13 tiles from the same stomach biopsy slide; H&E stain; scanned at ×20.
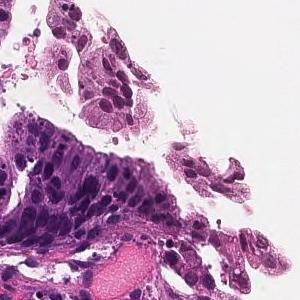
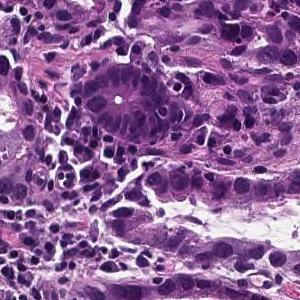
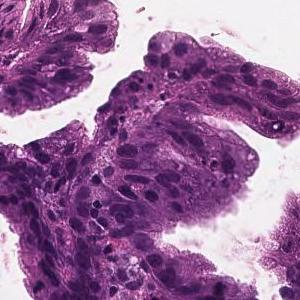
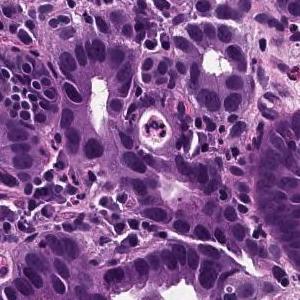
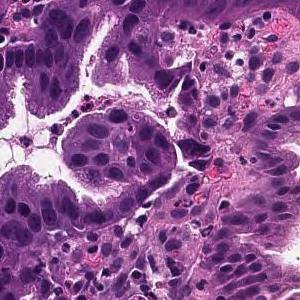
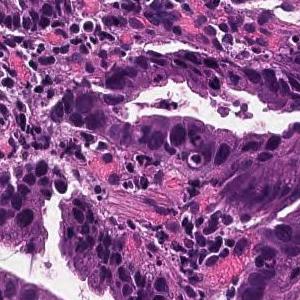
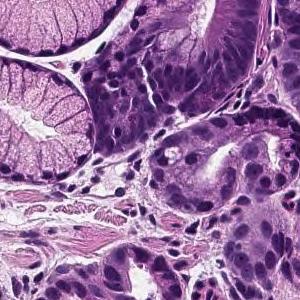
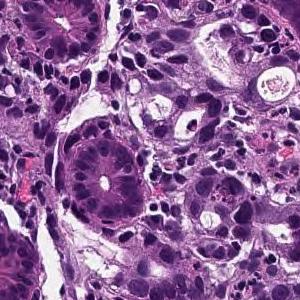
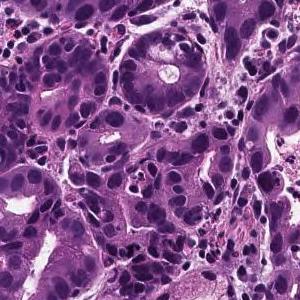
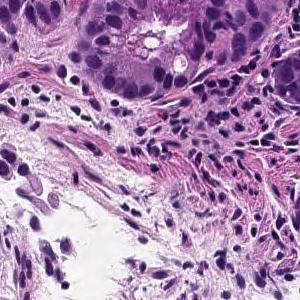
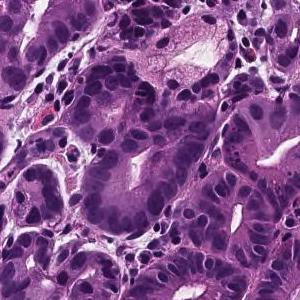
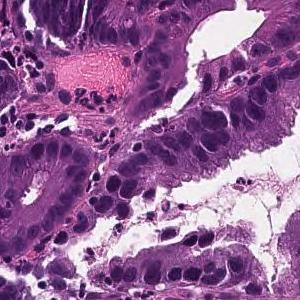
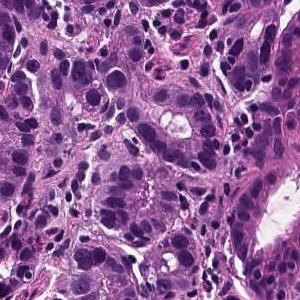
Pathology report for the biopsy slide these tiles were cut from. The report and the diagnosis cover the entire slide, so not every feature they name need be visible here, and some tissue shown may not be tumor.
From the superficial epithelium to the muscularis mucosae, tumor tissue consisting of medium-sized and irregular glandular ducts infiltrating is observed. Well differentiated tubular adenocarcinoma
